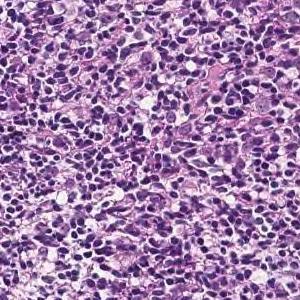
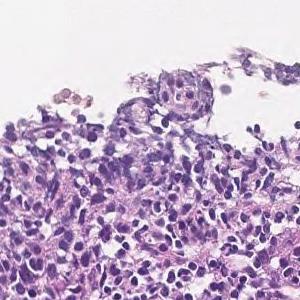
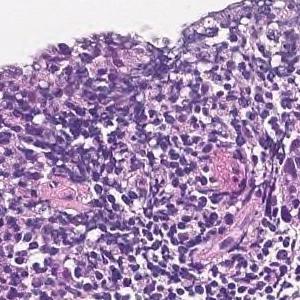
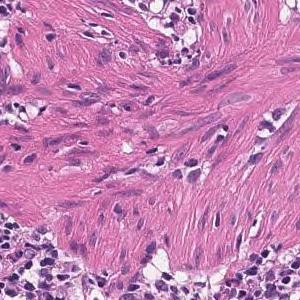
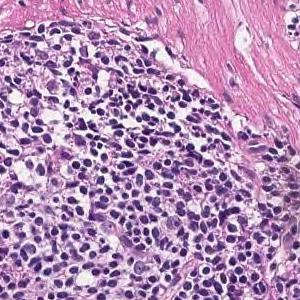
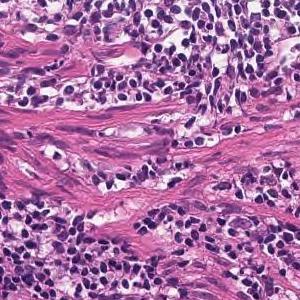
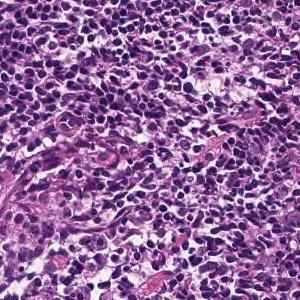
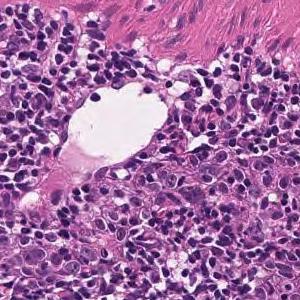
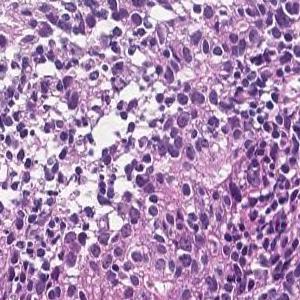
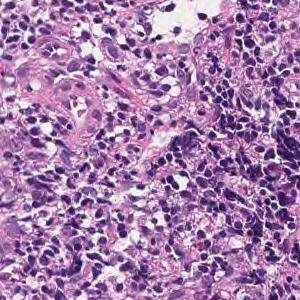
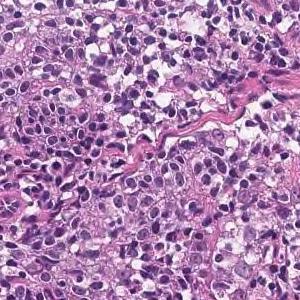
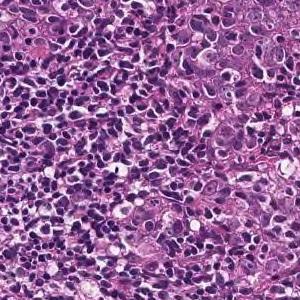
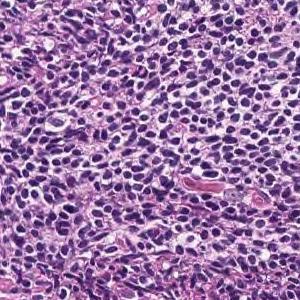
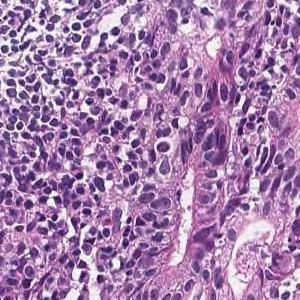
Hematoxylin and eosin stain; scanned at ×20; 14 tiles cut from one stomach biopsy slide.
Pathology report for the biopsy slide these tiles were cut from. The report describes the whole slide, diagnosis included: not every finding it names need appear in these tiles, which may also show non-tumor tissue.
Tumor tissue consisting of cord-like or small, irregular glandular ducts fused and infiltrated is observed in the superficial epithelium. Poorly differentiated adenocarcinoma, non-solid type
The term "non-solid type" comes from the Japanese Classification of Gastric Carcinoma.
